H&E · 6 image tiles from a single gastric biopsy slide · each 300 × 300 pixels.
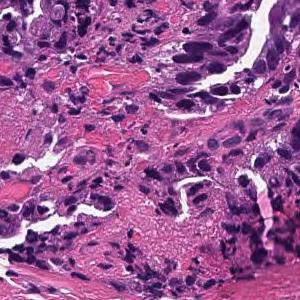
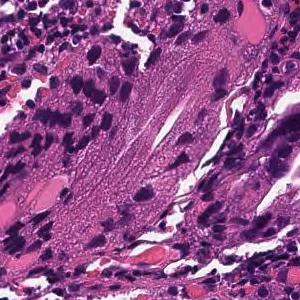
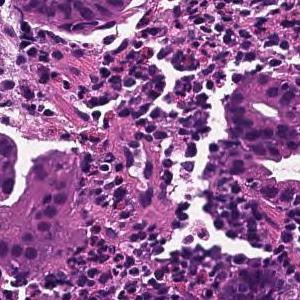
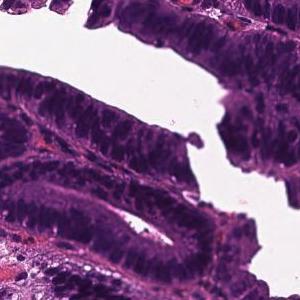
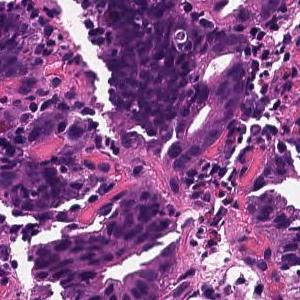
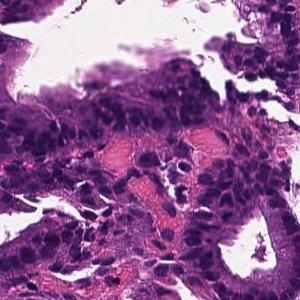
The pathologist's report on the biopsy slide these tiles were taken from. The findings and the diagnosis refer to the entire slide; these tiles show only part of it, possibly with non-tumor tissue, and may not show every feature named.
Tumor cells are large, highly columnar, large club-shaped nuclei, and are associated with chromatin aggregation. Papillary adenocarcinoma.
